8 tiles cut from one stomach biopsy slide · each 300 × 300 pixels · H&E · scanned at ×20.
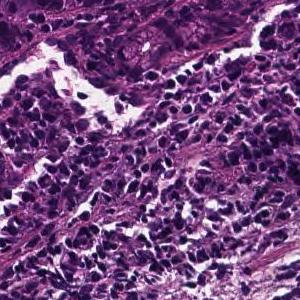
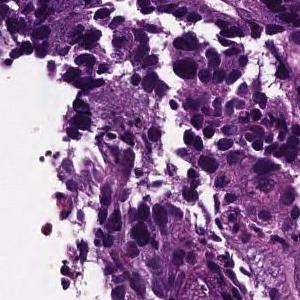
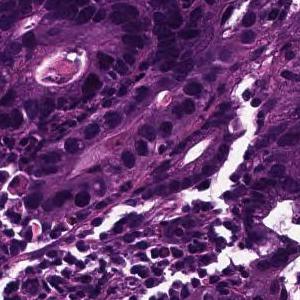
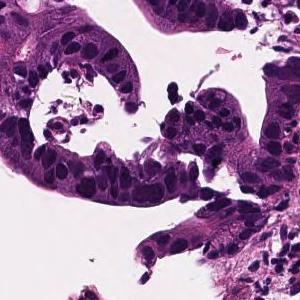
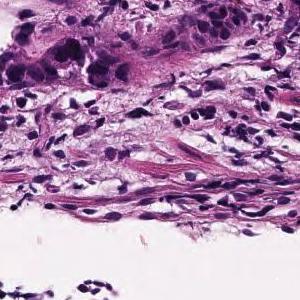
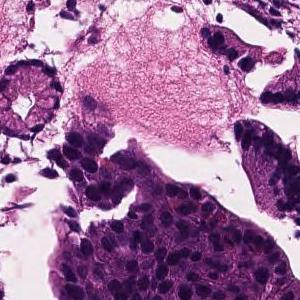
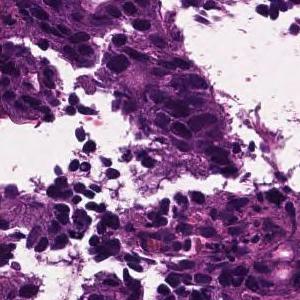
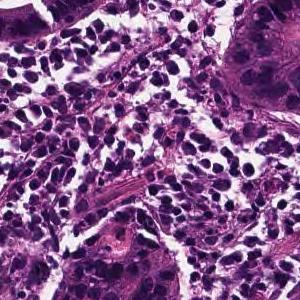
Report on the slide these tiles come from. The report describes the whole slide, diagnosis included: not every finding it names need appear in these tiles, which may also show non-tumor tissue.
In the superficial epithelium, tumor tissue that invades by forming medium-sized to small, irregular ducts is observed. moderately differentiated tubular adenocarcinoma.
